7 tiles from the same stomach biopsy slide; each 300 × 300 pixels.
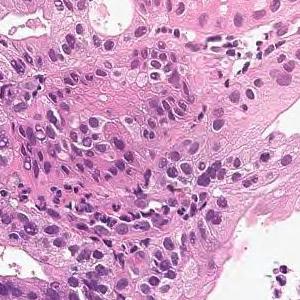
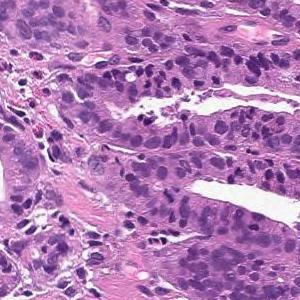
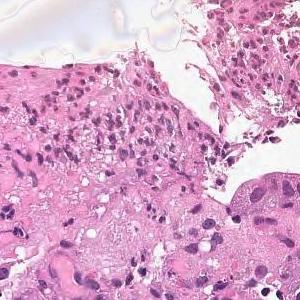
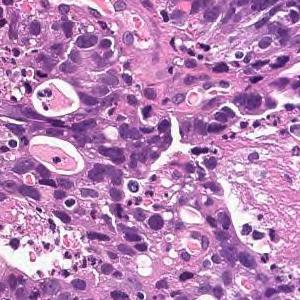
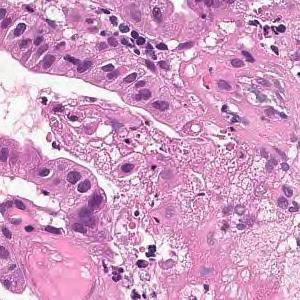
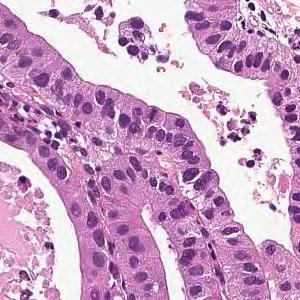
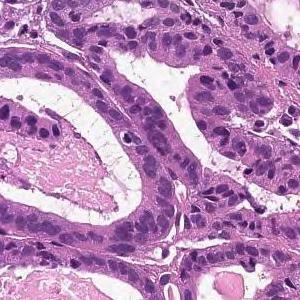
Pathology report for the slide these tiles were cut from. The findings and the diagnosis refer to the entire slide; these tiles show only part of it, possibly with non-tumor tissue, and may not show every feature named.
From the superficial epithelium to the muscularis mucosae, tumor tissue consisting of medium-sized and irregular glandular ducts infiltrating is observed. Well differentiated tubular adenocarcinoma
